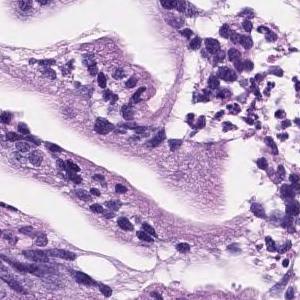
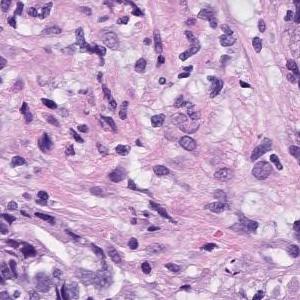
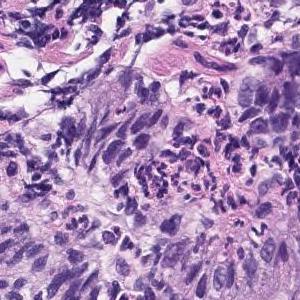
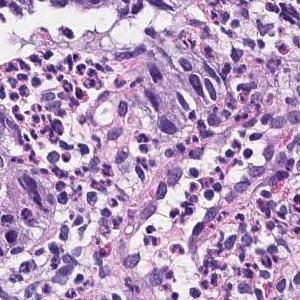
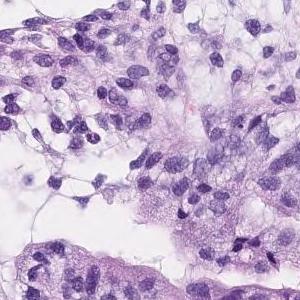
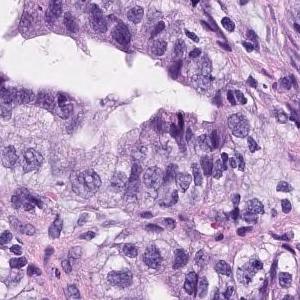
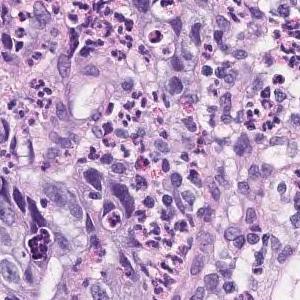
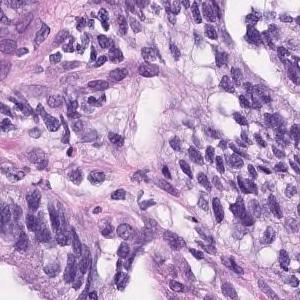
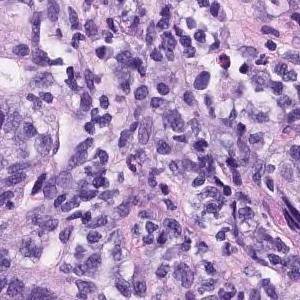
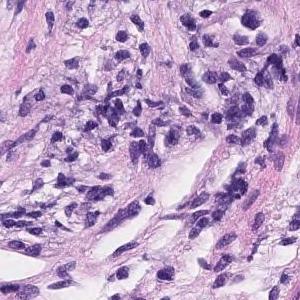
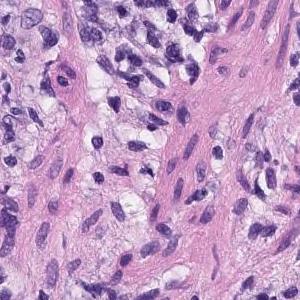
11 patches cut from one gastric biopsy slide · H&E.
Pathology report for the biopsy slide these tiles were cut from. The report and the diagnosis cover the entire slide, so not every feature they name need be visible here, and some tissue shown may not be tumor.
Tumor cells are large, highly columnar, large club-shaped nuclei, and are associated with chromatin aggregation. Papillary adenocarcinoma.
